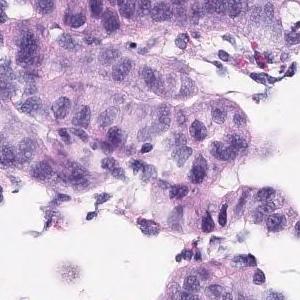
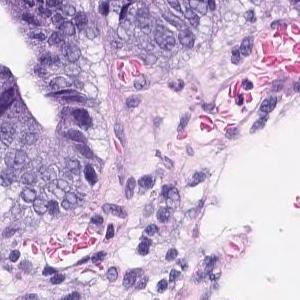
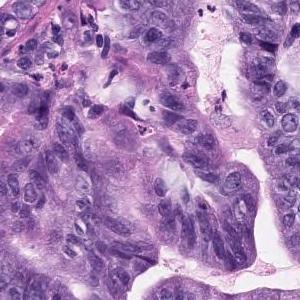
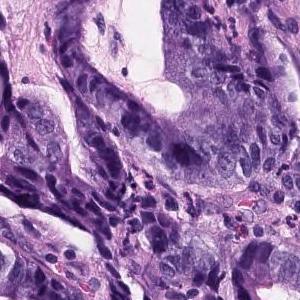
20× magnification; H&E stain; 4 tiles from the same stomach biopsy slide; 300×300 px each.
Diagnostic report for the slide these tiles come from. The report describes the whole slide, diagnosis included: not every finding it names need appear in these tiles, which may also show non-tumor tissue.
In the superficial epithelium, tumor tissue that invades by forming medium-sized to small, irregular ducts is observed. Well to moderately differentiated tubular adenocarcinoma.
